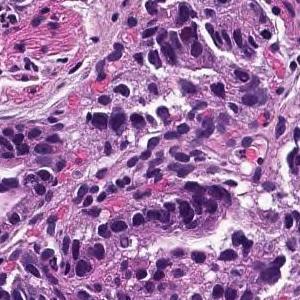
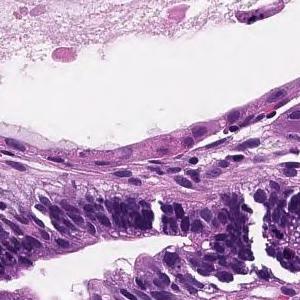
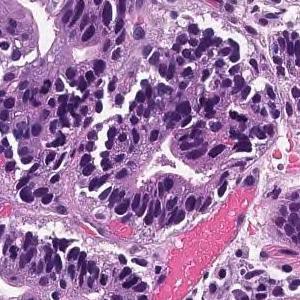
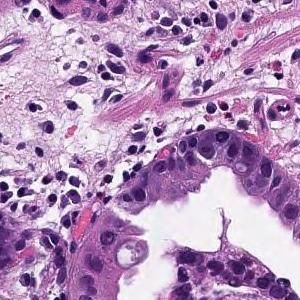
Scanned at ×20; hematoxylin and eosin stain; 4 image tiles from a single gastric biopsy slide; 300×300 px each.
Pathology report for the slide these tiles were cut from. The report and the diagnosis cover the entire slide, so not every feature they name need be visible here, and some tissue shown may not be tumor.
From the superficial epithelium to the muscularis mucosae, tumor tissue consisting of medium-sized and irregular glandular ducts infiltrating is observed. Well differentiated tubular adenocarcinoma
